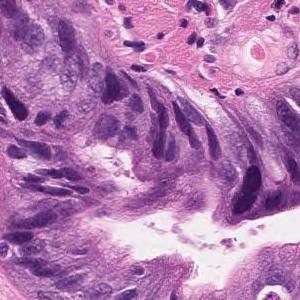
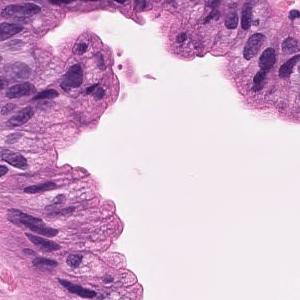
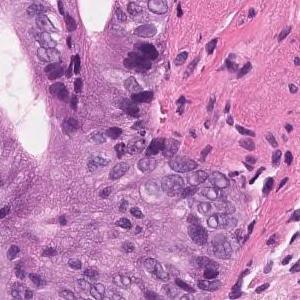
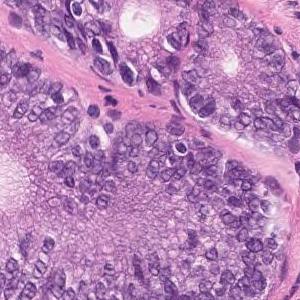
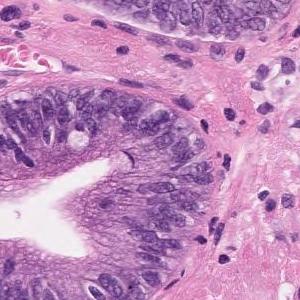
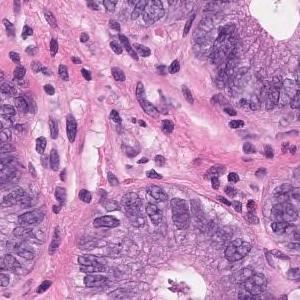
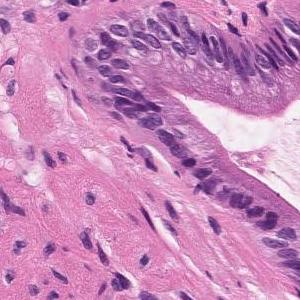
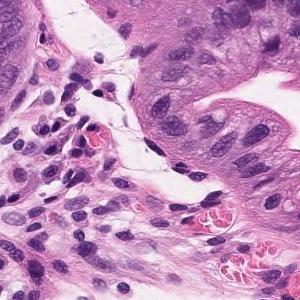
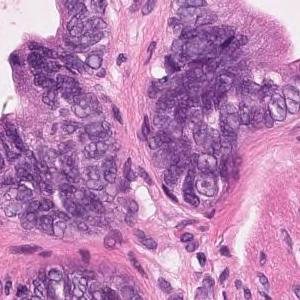
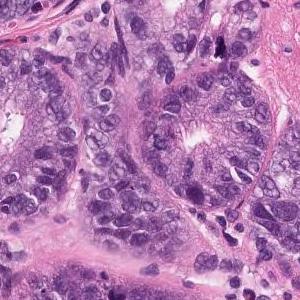
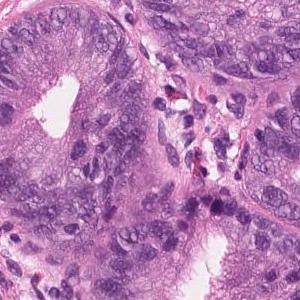
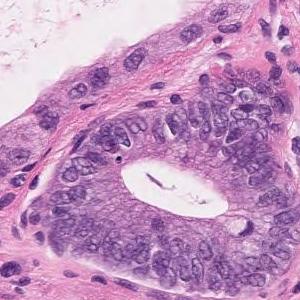
20× magnification; 12 patches cut from one gastric biopsy slide; 300 × 300 pixels each.
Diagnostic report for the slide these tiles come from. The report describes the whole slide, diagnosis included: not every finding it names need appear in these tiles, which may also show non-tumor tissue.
Atypical l cells with atypical nuclei forming irregular glandular ducts. Well differentiated tubuar adenocarcinoma (well differentiated tubular adenocarcinoma)
Tumor subtype: well differentiated tubular adenocarcinoma.
